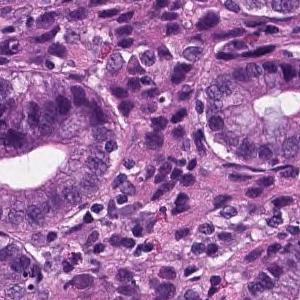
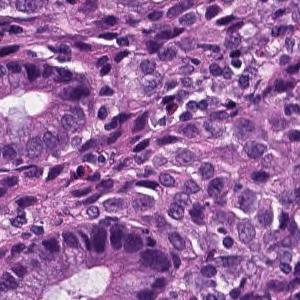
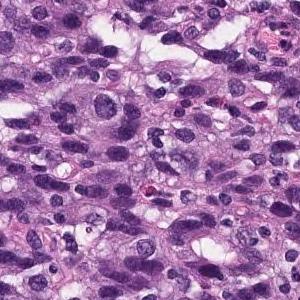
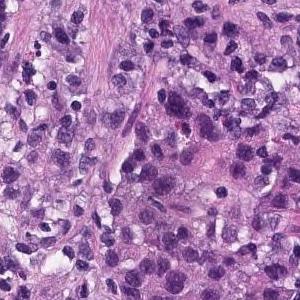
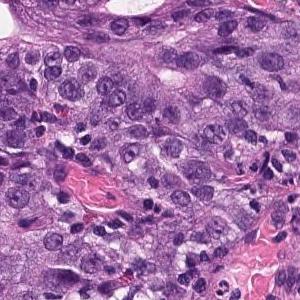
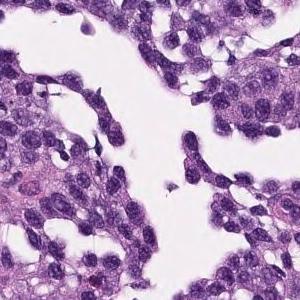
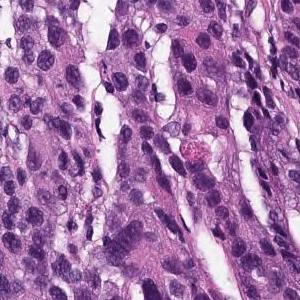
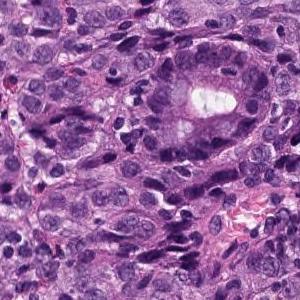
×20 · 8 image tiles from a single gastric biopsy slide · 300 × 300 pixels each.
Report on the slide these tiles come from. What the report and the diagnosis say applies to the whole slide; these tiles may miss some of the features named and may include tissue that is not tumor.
In the superficial epithelium, tumor tissue that invades by forming medium-sized to small, irregular ducts is observed. Moderately differentiated adenocarcinoma.
Subtype: Moderately differentiated tubular adenocarcinoma.
